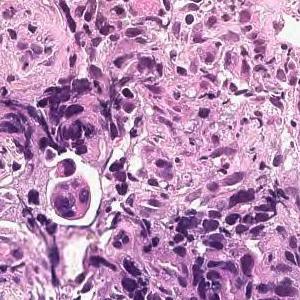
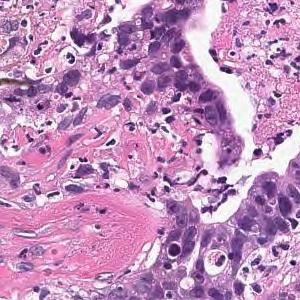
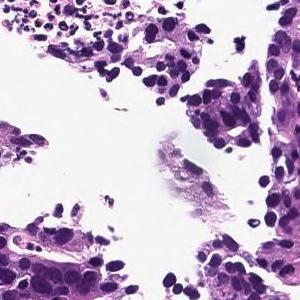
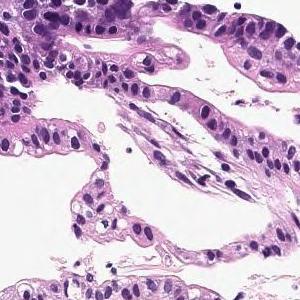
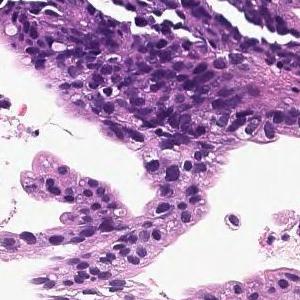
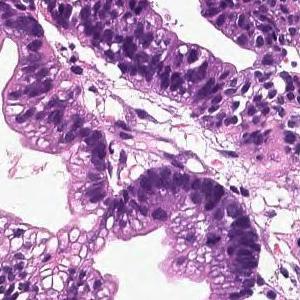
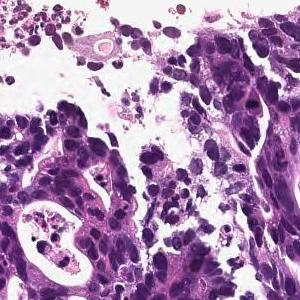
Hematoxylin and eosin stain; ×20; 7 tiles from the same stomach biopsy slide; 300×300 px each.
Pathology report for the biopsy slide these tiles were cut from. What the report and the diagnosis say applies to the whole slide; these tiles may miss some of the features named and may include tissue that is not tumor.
In the superficial epithelium, tumor tissue that invades by forming medium-sized to small, irregular ducts is observed. moderately differentiated tubular adenocarcinoma.
